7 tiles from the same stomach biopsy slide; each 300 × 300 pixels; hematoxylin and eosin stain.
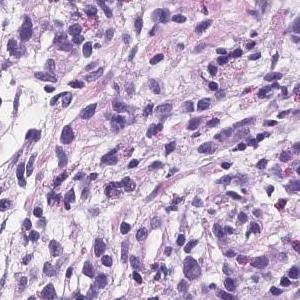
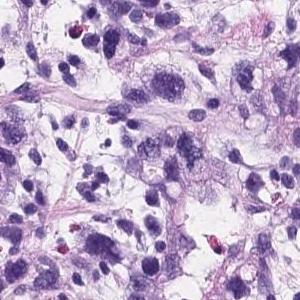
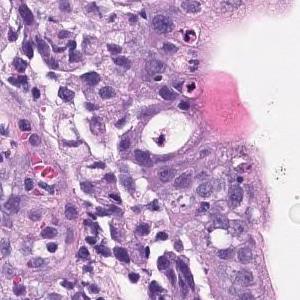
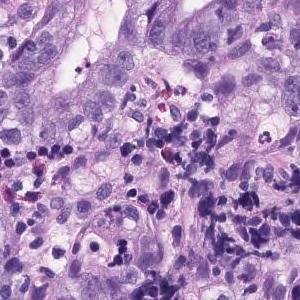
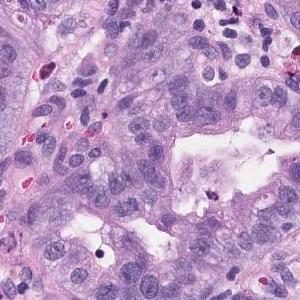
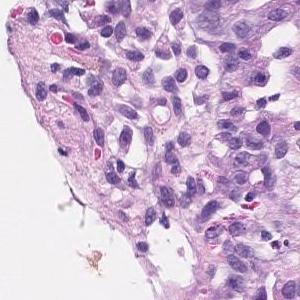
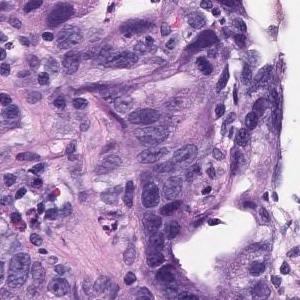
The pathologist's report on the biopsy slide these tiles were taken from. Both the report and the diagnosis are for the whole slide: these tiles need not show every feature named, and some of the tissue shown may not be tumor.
There are atypical l cells with atypical nuclei forming cord-like or irregular atypical ducts from solidity and proliferating in a comprehensive manner. Poorly differentiated adenocarcinoma, Moderately differentiated adenocarcinoma (poorly differentiated adenocarcinoma, solid type moderately differentiated tubular adenocarcinoma)
Classified as moderately to poorly differentiated adenocarcinoma.
The term "solid type" comes from the Japanese Classification of Gastric Carcinoma; the WHO 2019 equivalent is tubular adenocarcinoma, poorly differentiated.
